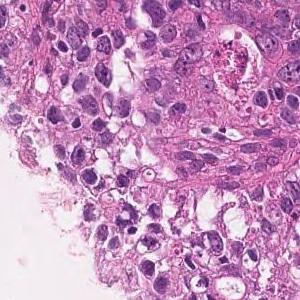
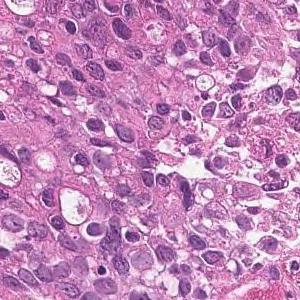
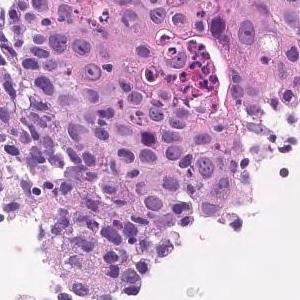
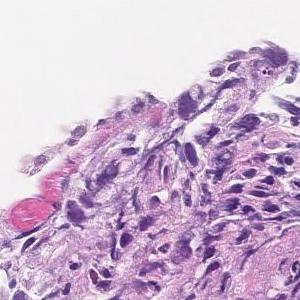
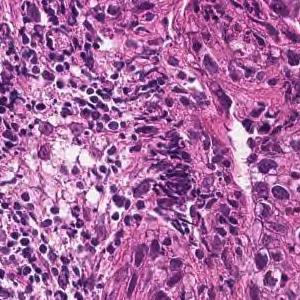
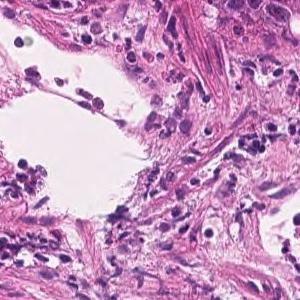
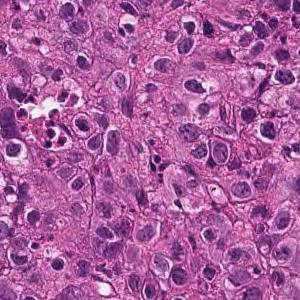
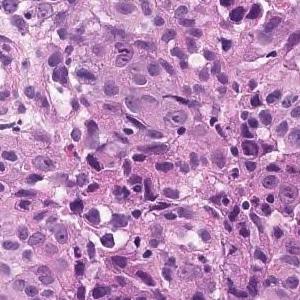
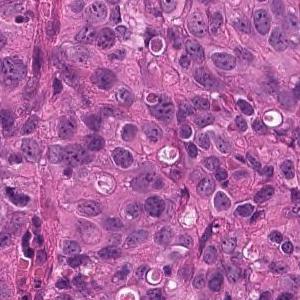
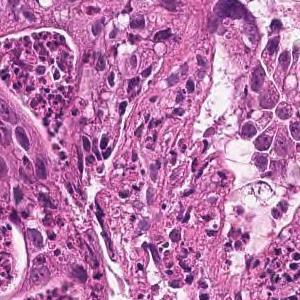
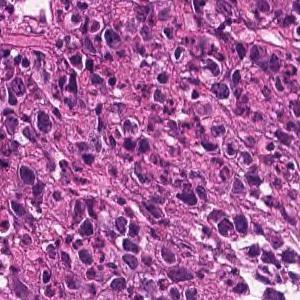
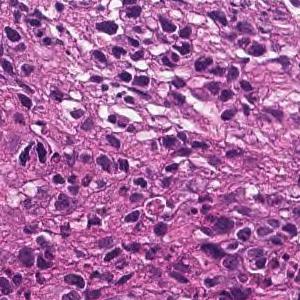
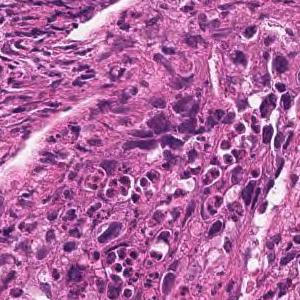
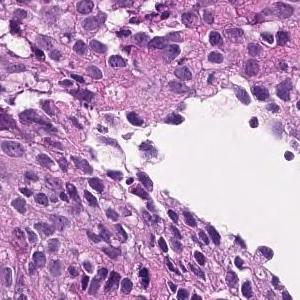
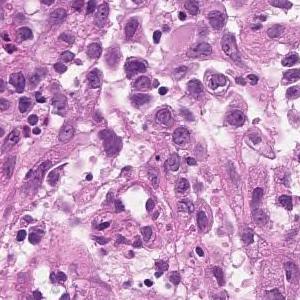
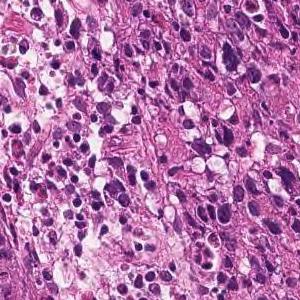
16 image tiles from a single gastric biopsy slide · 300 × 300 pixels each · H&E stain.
Pathology report for the slide these tiles were cut from. What the report and the diagnosis say applies to the whole slide; these tiles may miss some of the features named and may include tissue that is not tumor.
The superficial epithelium shows a large sheet-like shape, and some tumor tissue infiltrates with small irregular ducts. Poorly differentiated adenocarcinoma, solid-type
Histologic type: Poorly differentiated adenocarcinoma, solid type, a category of the Japanese Classification of Gastric Carcinoma; in the WHO 2019 classification it is tubular adenocarcinoma, poorly differentiated.
